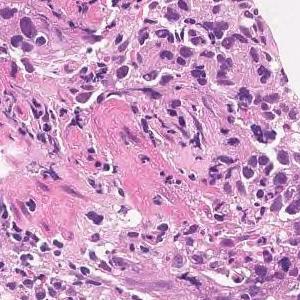
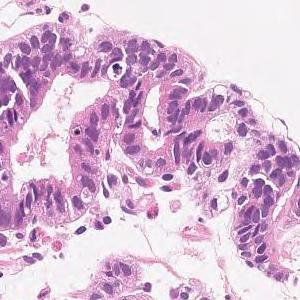
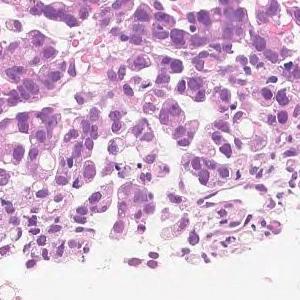
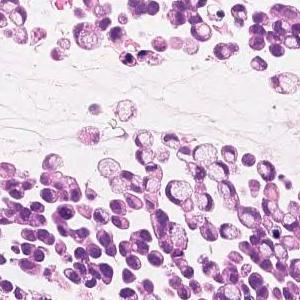
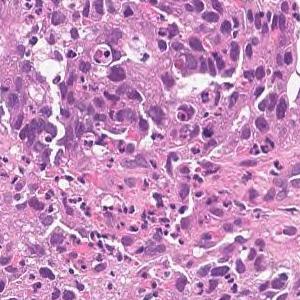
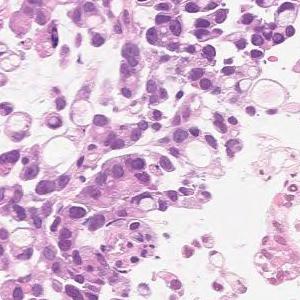
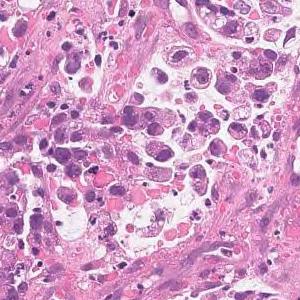
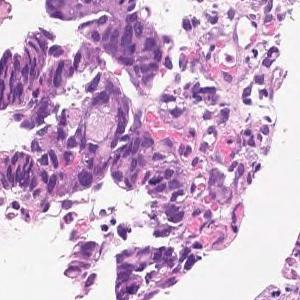
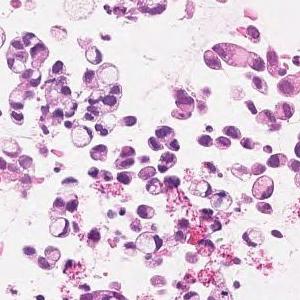
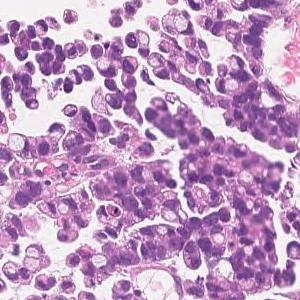
H&E stain, ×20, 10 patches cut from one gastric biopsy slide, 300 × 300 pixels each.
Diagnostic report for the slide these tiles come from. The report and the diagnosis cover the entire slide, so not every feature they name need be visible here, and some tissue shown may not be tumor.
Medium to small, irregular glandular ducts are formed in the superficial epithelium, and in some cases, the glandular ducts are fused to show solid alveolar lesions and infiltrating tumor tissue is observed. Moderately to poorly differentiated adenocarcinoma.
